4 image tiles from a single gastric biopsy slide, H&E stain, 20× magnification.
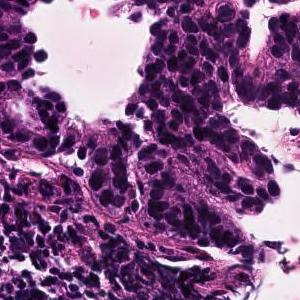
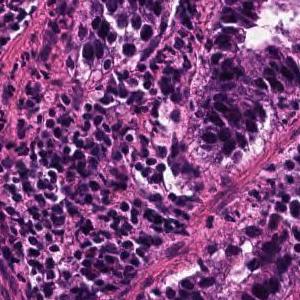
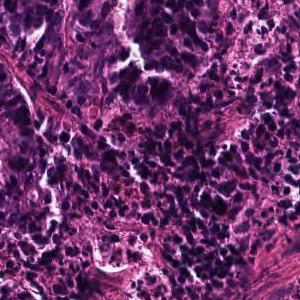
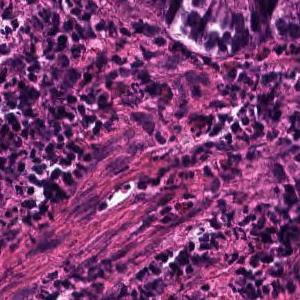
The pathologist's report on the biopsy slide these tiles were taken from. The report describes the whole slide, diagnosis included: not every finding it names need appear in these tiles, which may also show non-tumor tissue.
Tumor tissue consisting of large papillary structures is found in the superficial epithelium. Papillary adenocarcinoma.
